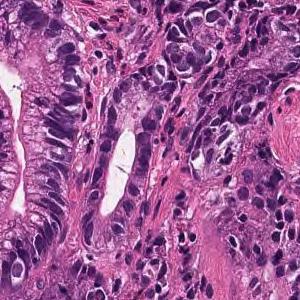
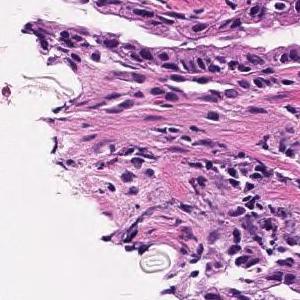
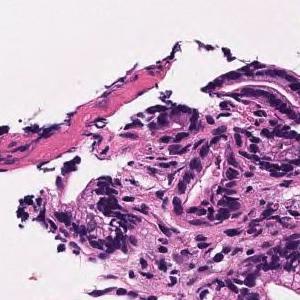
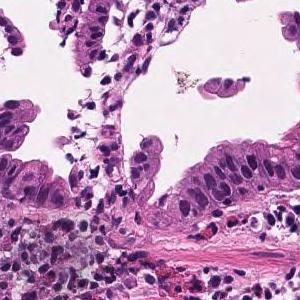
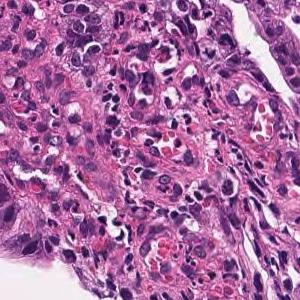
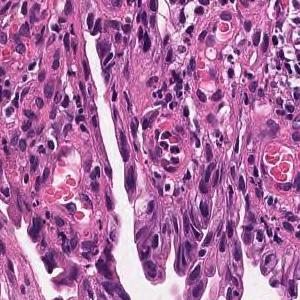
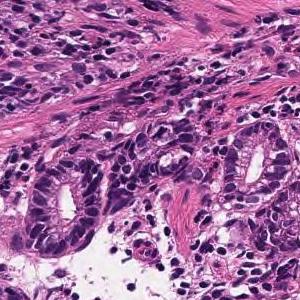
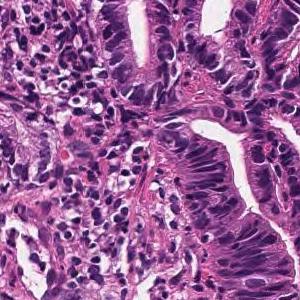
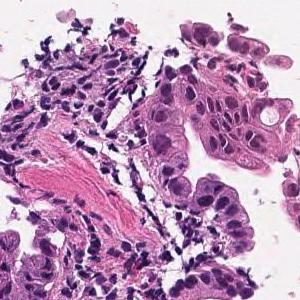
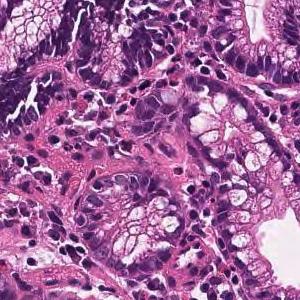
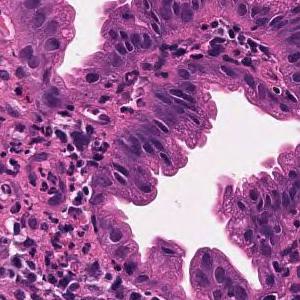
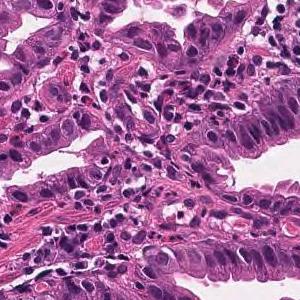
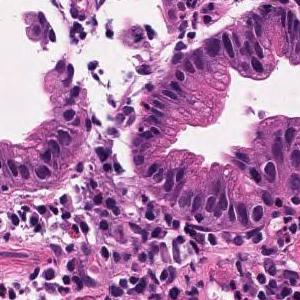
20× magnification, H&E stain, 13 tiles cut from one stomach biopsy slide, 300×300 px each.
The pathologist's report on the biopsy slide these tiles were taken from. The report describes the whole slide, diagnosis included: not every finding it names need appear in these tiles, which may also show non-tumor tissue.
Tumor tissue in which medium to small irregular ducts infiltrate and proliferate in the submucosa can be seen in the epithelium. Well differentiated tubular adenocarcinoma
